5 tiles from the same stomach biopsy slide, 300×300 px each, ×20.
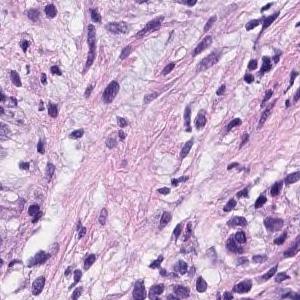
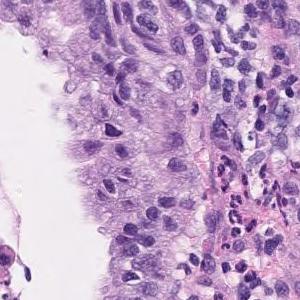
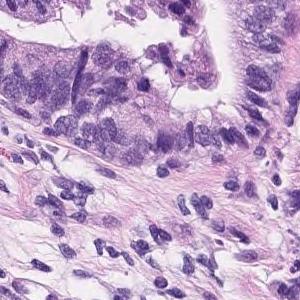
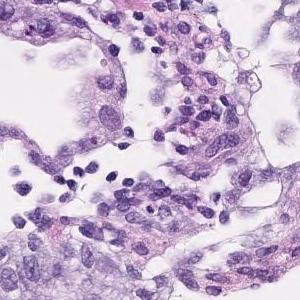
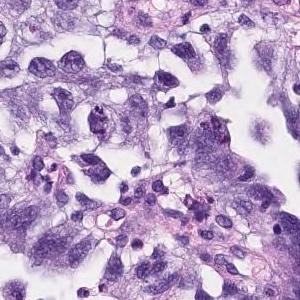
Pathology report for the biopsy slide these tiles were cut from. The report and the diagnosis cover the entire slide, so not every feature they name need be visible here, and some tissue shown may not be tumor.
Tumor cells are large, highly columnar, large club-shaped nuclei, and are associated with chromatin aggregation. Papillary adenocarcinoma.
